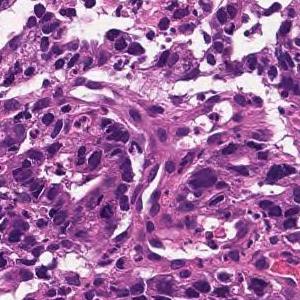
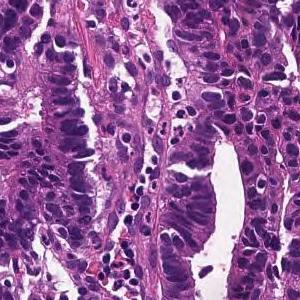
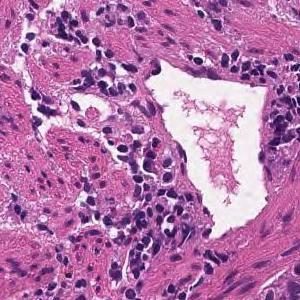
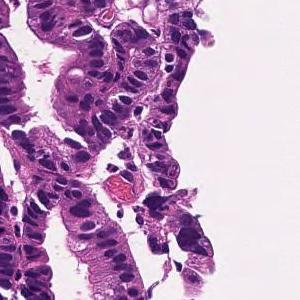
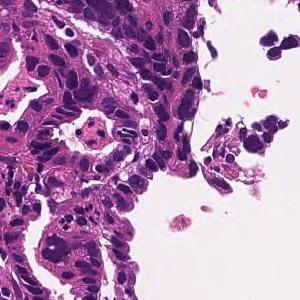
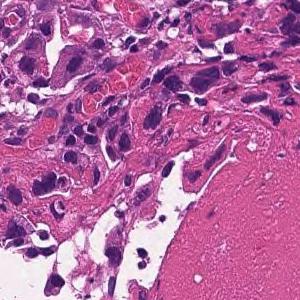
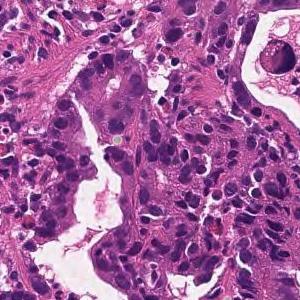
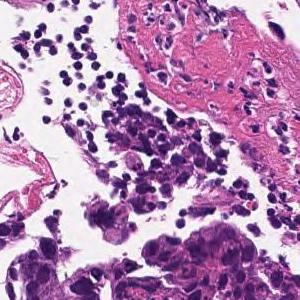
Hematoxylin and eosin stain, scanned at ×20, 8 patches cut from one gastric biopsy slide, each 300 × 300 pixels.
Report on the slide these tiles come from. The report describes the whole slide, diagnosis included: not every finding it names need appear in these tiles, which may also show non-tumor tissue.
In the superficial epithelium, tumor tissue that invades by forming medium-sized to small, irregular ducts is observed. moderately differentiated tubular adenocarcinoma.
